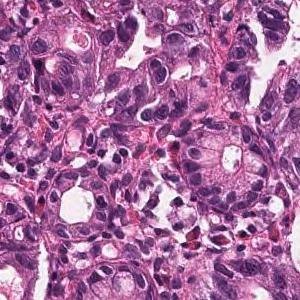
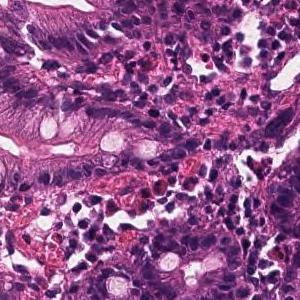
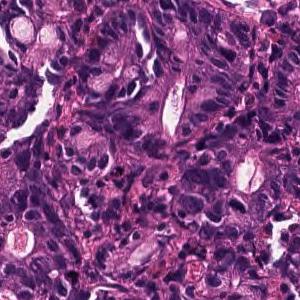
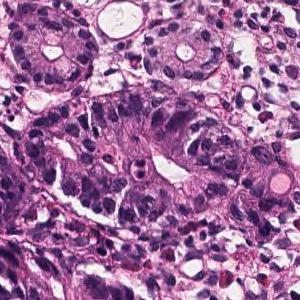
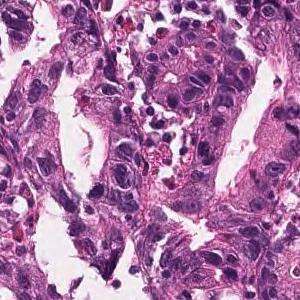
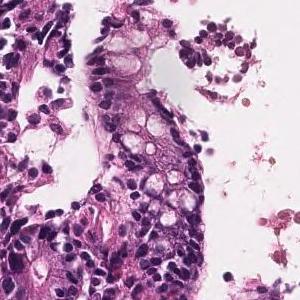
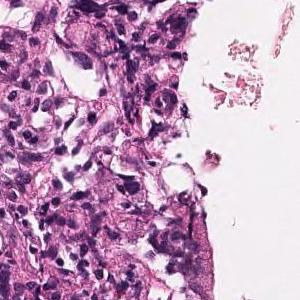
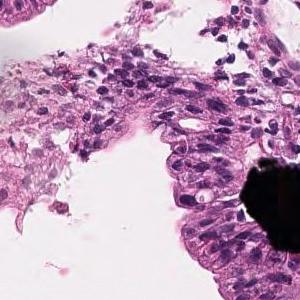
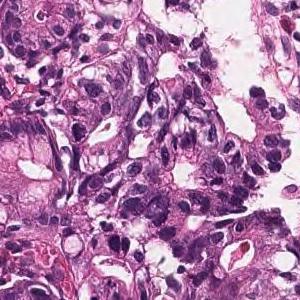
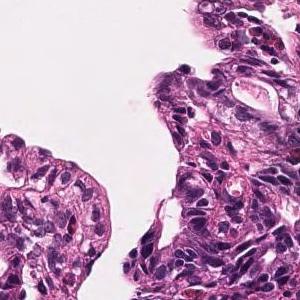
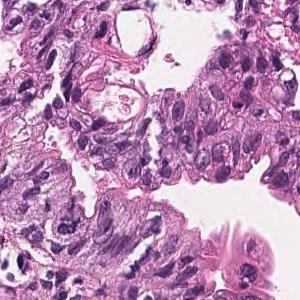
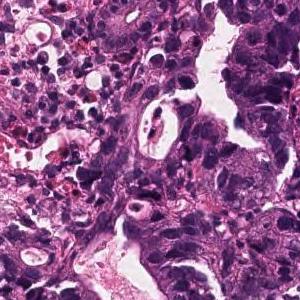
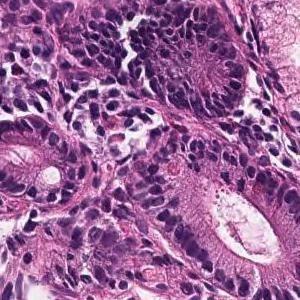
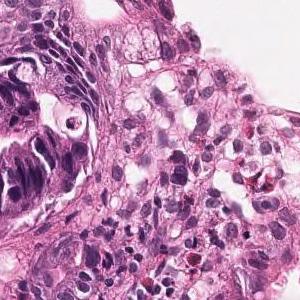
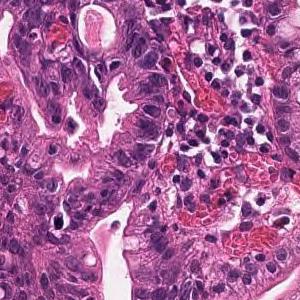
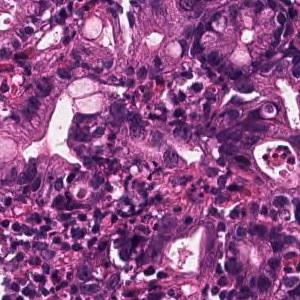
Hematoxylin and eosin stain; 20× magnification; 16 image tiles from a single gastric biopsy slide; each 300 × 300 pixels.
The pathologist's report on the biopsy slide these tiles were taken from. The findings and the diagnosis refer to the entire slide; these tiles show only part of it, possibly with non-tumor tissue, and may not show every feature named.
On the superficial epithelium, tumor tissue consisting of large, irregular glandular ducts partially fused and infiltrated is observed. Well to moderately differentiated tubular adenocarcinoma (well differentiated tubular adenocarcinoma, moderately differentiated tubular adenocarcinoma)
Histological subtype: Well to moderately differentiated tubular adenocarcinoma.
